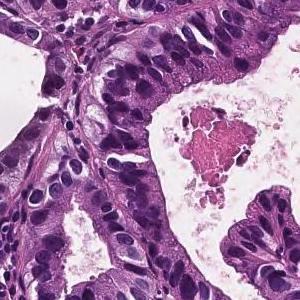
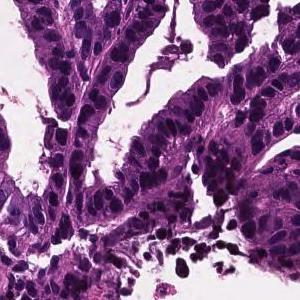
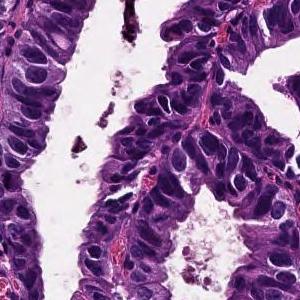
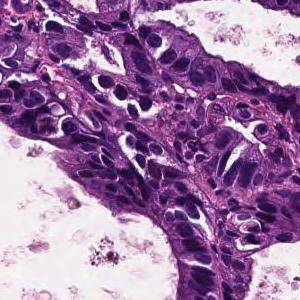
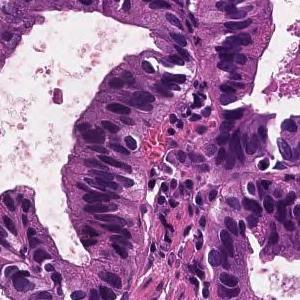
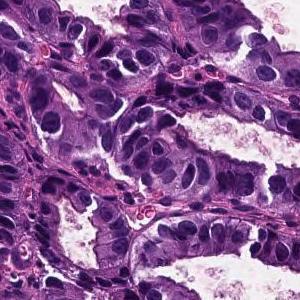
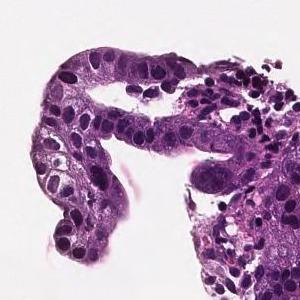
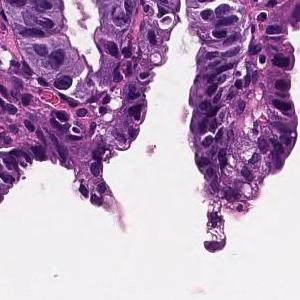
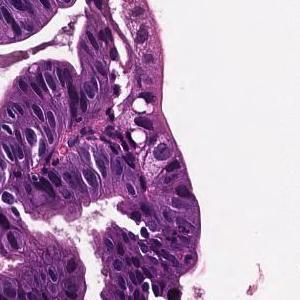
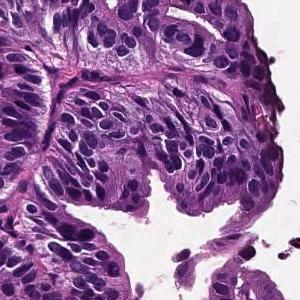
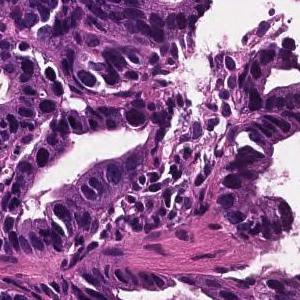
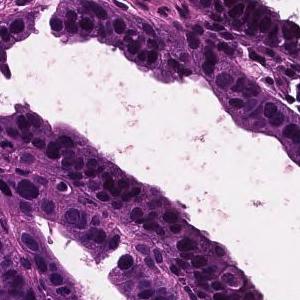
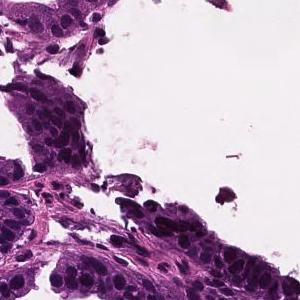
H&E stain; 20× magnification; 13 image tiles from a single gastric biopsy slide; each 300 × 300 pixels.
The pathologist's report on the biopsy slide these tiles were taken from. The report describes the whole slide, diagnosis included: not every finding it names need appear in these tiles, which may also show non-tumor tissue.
From the superficial epithelium to the muscularis mucosae, tumor tissue consisting of medium-sized and irregular glandular ducts infiltrating is observed. Well differentiated tubular adenocarcinoma
